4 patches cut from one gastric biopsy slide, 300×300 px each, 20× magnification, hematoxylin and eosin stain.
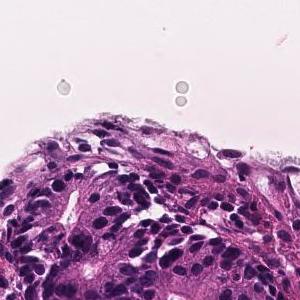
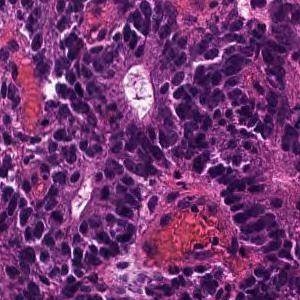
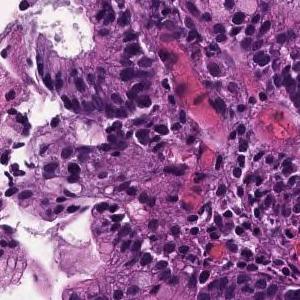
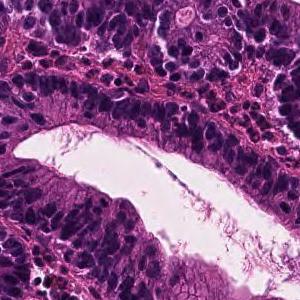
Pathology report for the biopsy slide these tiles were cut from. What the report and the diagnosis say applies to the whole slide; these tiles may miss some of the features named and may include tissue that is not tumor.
In the superficial epithelium, tumor tissue that invades by forming medium-sized to small, irregular ducts is observed. moderately differentiated tubular adenocarcinoma.
